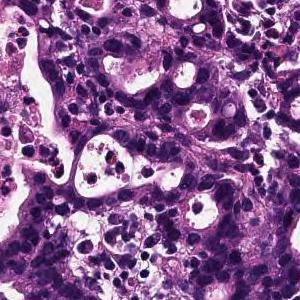
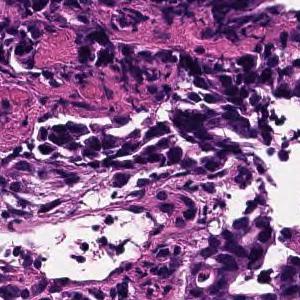
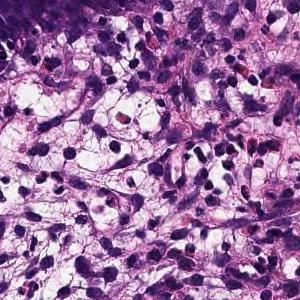
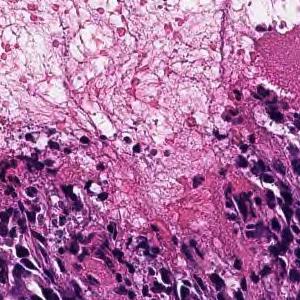
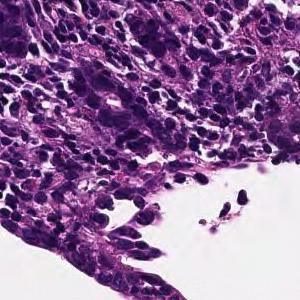
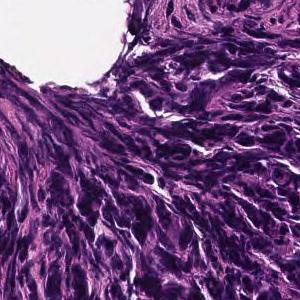
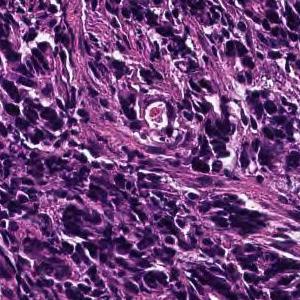
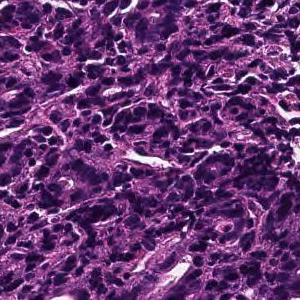
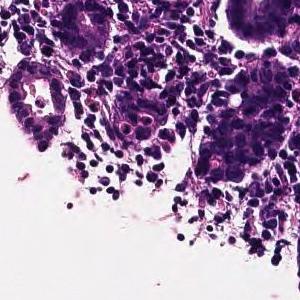
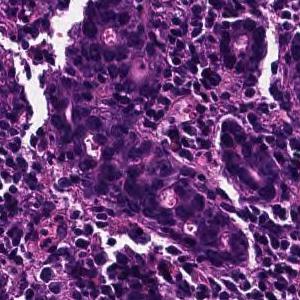
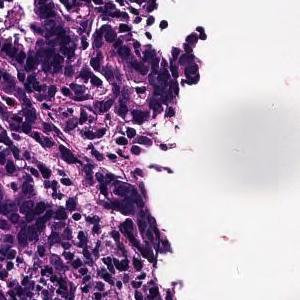
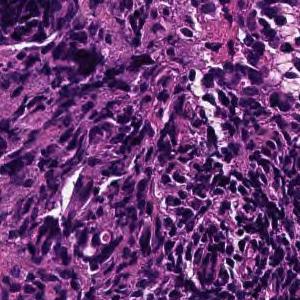
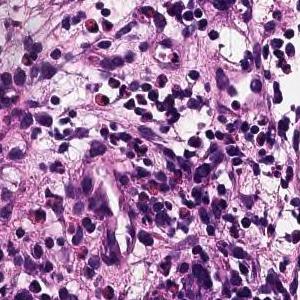
Hematoxylin and eosin stain · 20× magnification · 13 tiles from the same stomach biopsy slide.
Diagnostic report for the slide these tiles come from. Both the report and the diagnosis are for the whole slide: these tiles need not show every feature named, and some of the tissue shown may not be tumor.
On the superficial epithelium, tumor tissue is found in which medium-sized irregular gland ducts fuse with each other and infiltrate. moderately differentiated tubular adenocarcinoma or Poorly differentiated adenocarcinoma, non-solid type
Tumor subtype: moderately to poorly differentiated adenocarcinoma.
The non-solid type named here is a Japanese Classification of Gastric Carcinoma category.
